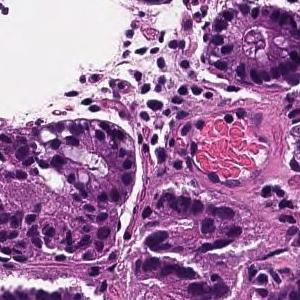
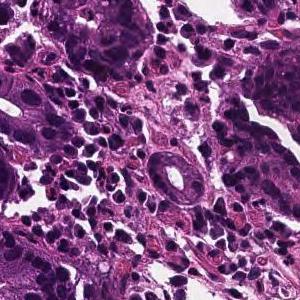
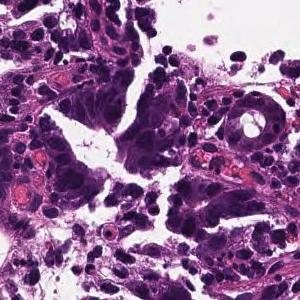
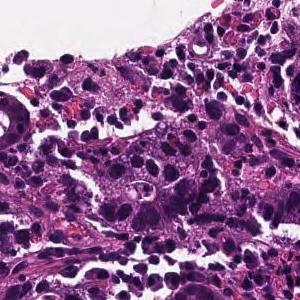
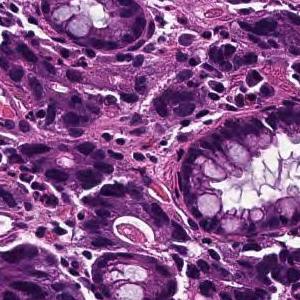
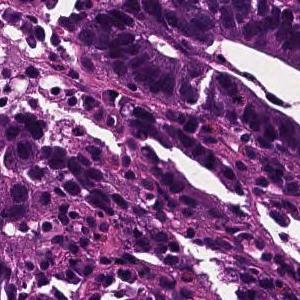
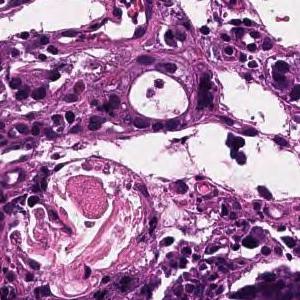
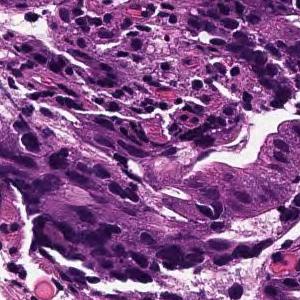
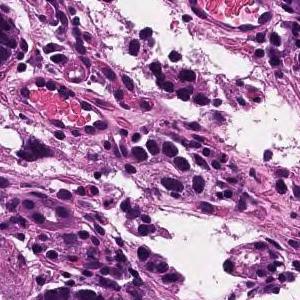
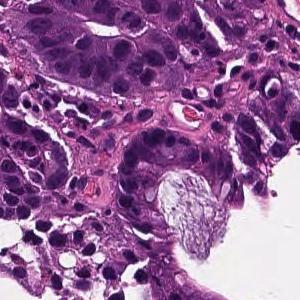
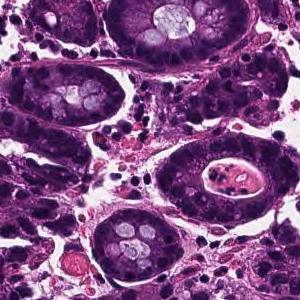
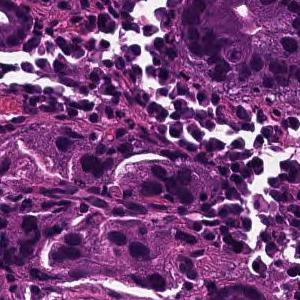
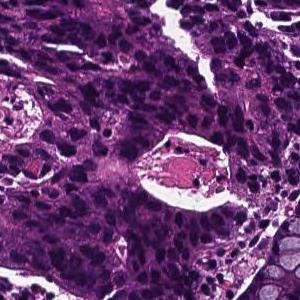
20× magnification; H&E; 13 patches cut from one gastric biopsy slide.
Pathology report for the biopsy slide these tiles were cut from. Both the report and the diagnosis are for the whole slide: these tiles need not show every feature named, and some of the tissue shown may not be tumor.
In the superficial epithelium, tumor tissue that invades by forming medium-sized to small, irregular ducts is observed. moderately differentiated tubular adenocarcinoma.
